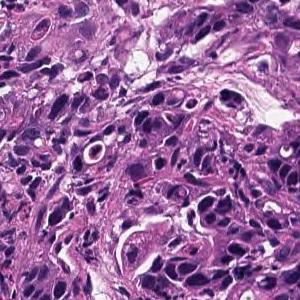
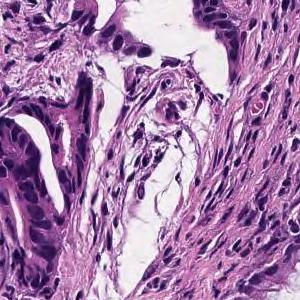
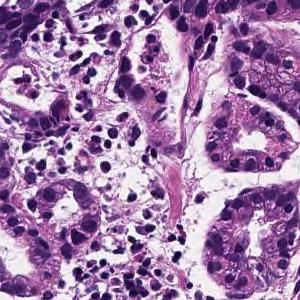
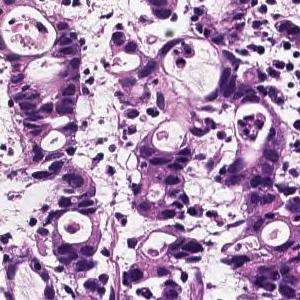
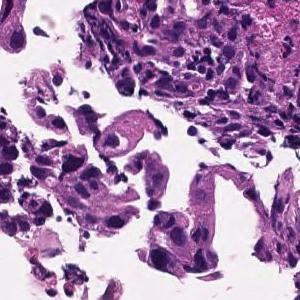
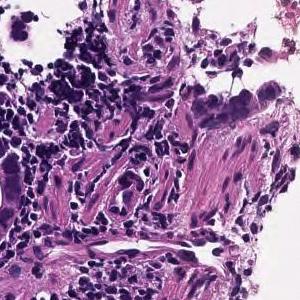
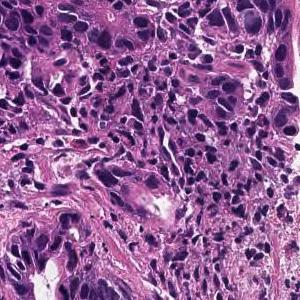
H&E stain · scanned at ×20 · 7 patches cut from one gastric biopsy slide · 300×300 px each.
Pathology report for the biopsy slide these tiles were cut from. The report and the diagnosis describe the slide as a whole, so these tiles may not show every feature named and may include non-tumor tissue.
In the superficial epithelium, tumor tissue that invades by forming medium-sized to small, irregular ducts is observed. moderately differentiated tubular adenocarcinoma.
